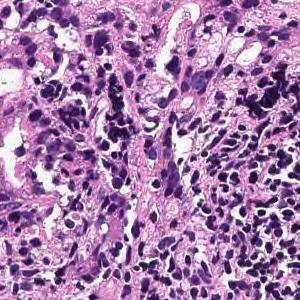
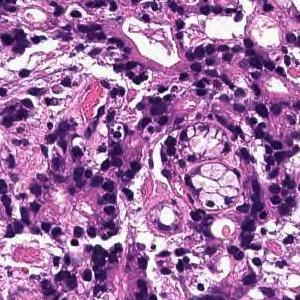
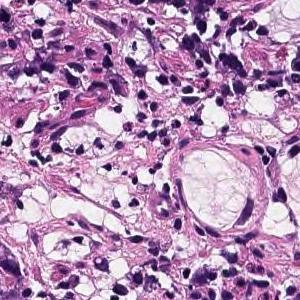
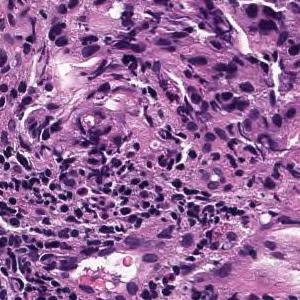
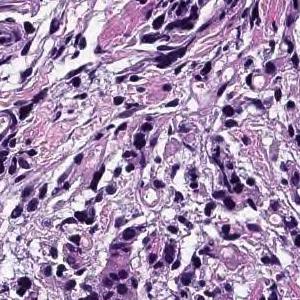
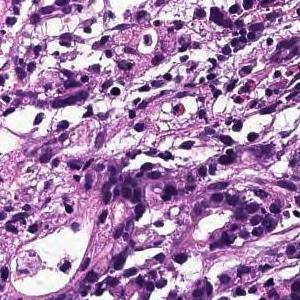
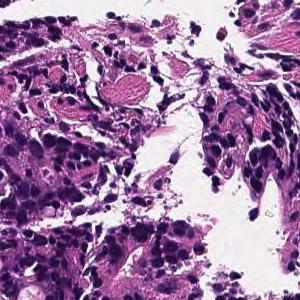
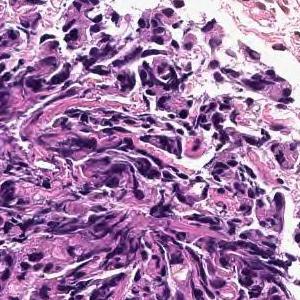
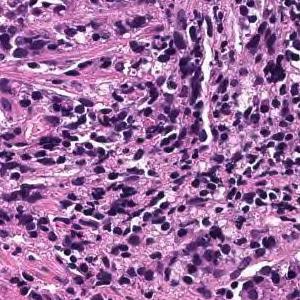
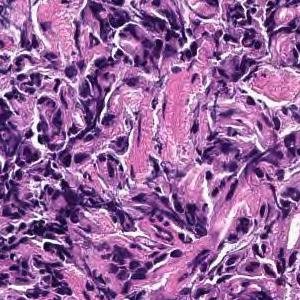
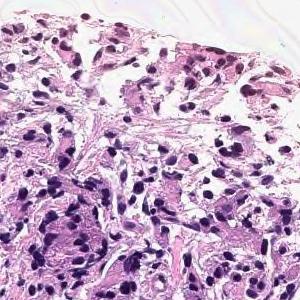
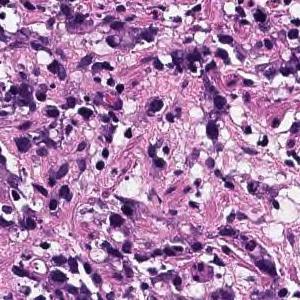
12 tiles cut from one stomach biopsy slide · H&E stain.
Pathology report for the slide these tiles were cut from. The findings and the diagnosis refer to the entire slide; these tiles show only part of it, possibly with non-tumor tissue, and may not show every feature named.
Tumor tissue consisting of cord-like or small, irregular glandular ducts fused and infiltrated is observed in the superficial epithelium. Poorly differentiated adenocarcinoma, non-solid type
The non-solid type named here is a Japanese Classification of Gastric Carcinoma category.
